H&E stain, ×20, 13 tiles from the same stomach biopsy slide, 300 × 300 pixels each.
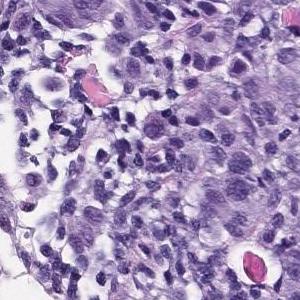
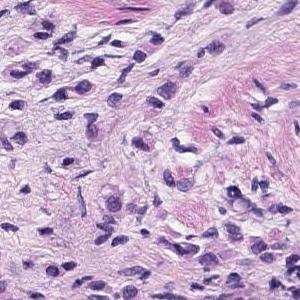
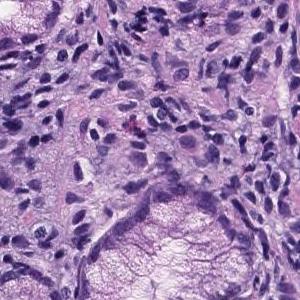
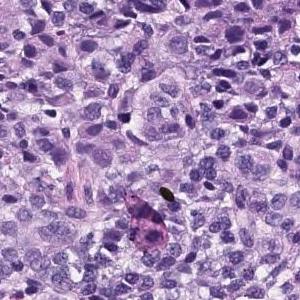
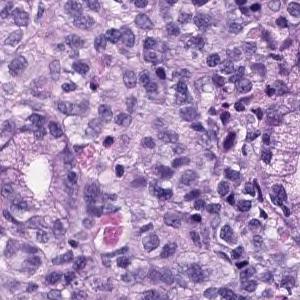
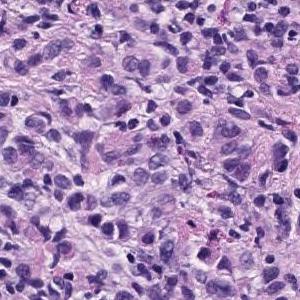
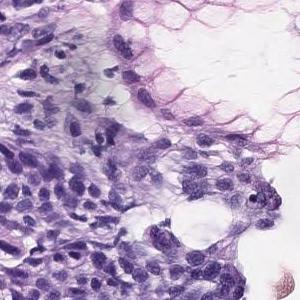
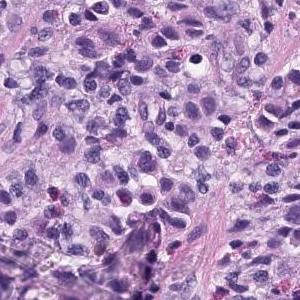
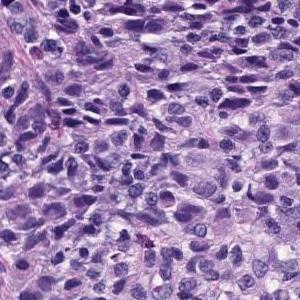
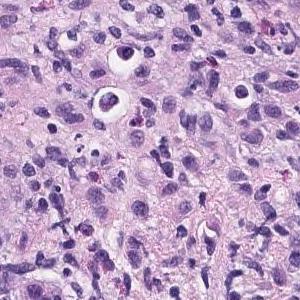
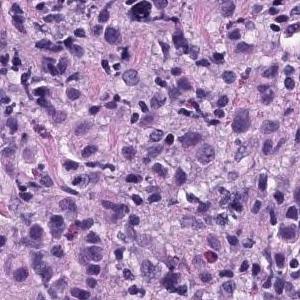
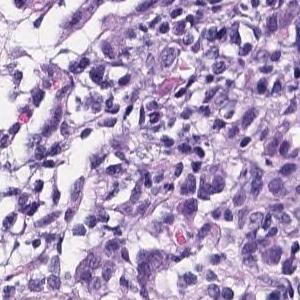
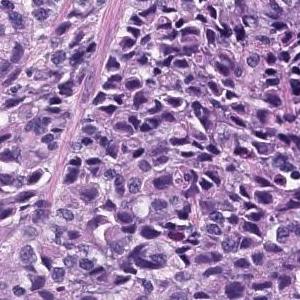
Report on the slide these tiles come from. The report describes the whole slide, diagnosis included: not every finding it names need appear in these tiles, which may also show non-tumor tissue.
There are medium-sized atypical cells with marked nuclear swelling and increased N/C ratio, which grow into solid or isolated scattered cells. Poorly differentiated adenocarcinoma
Histological subtype: Poorly differentiated adenocarcinoma, solid type, a category of the Japanese Classification of Gastric Carcinoma; in the WHO 2019 classification it is tubular adenocarcinoma, poorly differentiated.
